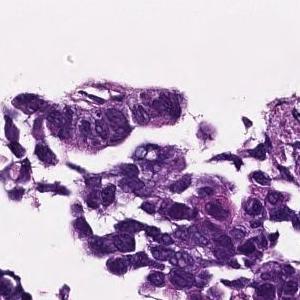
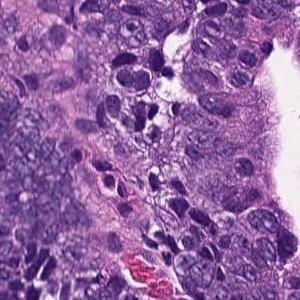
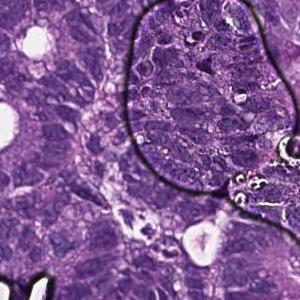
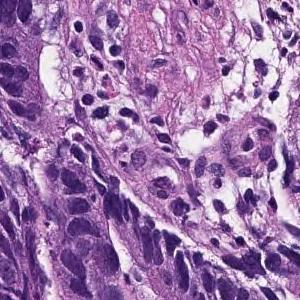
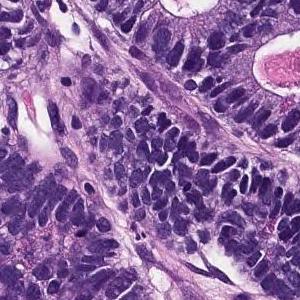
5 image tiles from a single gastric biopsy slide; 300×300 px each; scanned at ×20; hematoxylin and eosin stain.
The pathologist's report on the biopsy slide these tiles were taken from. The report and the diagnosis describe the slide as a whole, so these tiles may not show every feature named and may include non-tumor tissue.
In the superficial epithelium, tumor tissue that invades by forming medium-sized to small, irregular ducts is observed. moderately differentiated tubular adenocarcinoma.
